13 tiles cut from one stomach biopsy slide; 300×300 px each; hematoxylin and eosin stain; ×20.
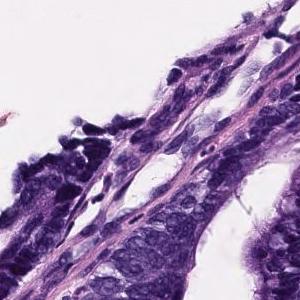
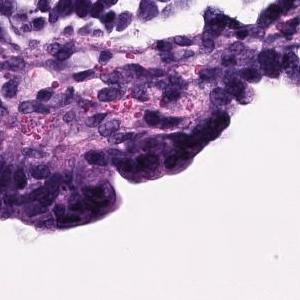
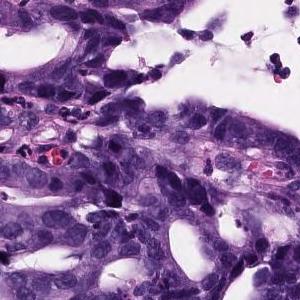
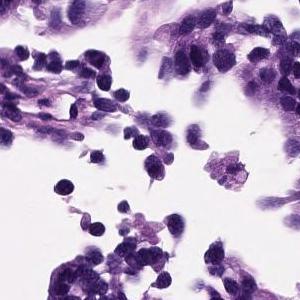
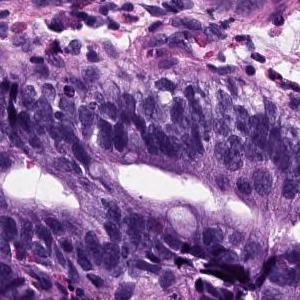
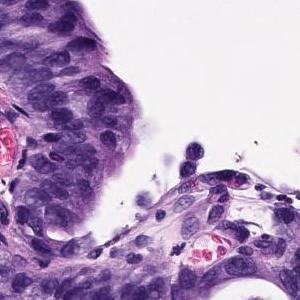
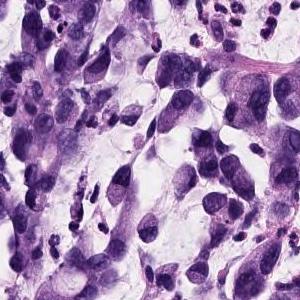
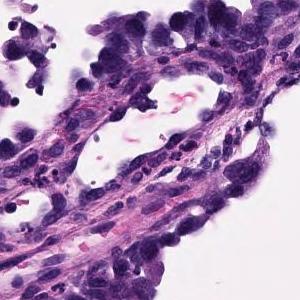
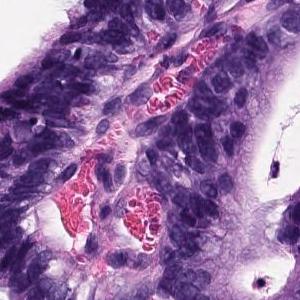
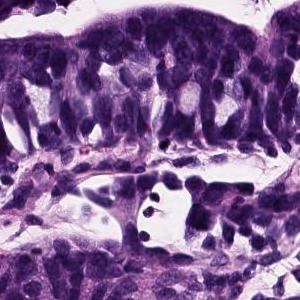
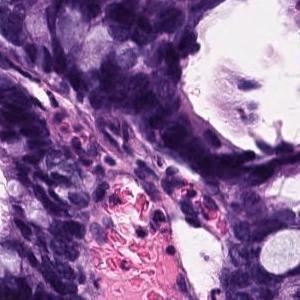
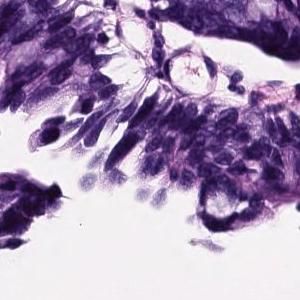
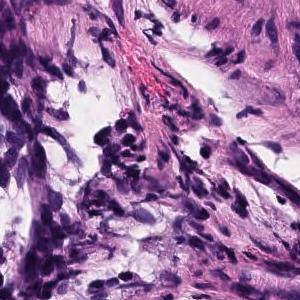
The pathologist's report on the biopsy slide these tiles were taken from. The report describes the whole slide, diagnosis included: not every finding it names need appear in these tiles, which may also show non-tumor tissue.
Atypical epithelium proliferating showing villus construction and irregular gland duct construction is observed. Moderately differentiated tubular adenocarcinoma.
